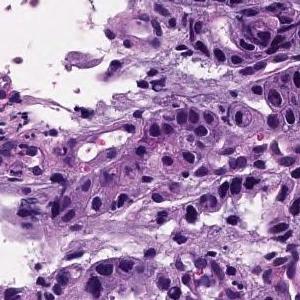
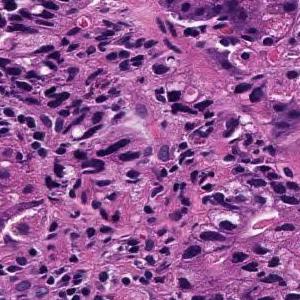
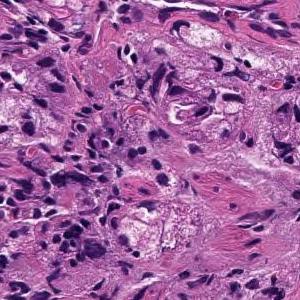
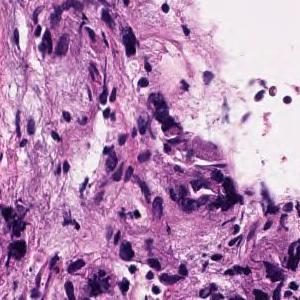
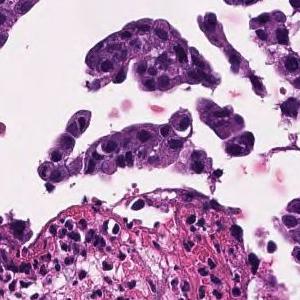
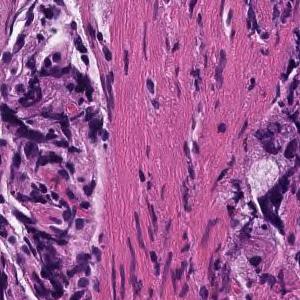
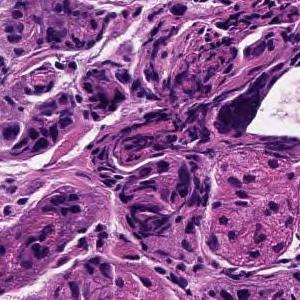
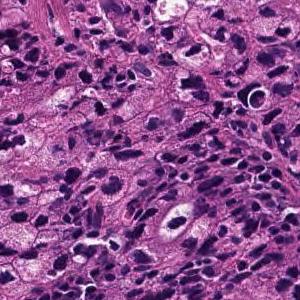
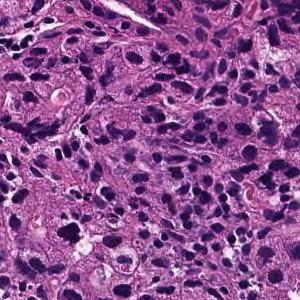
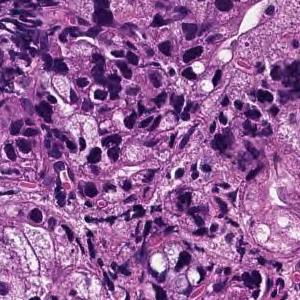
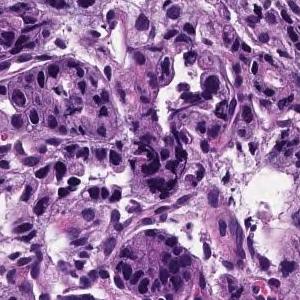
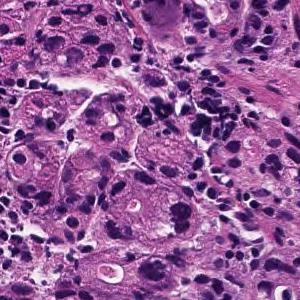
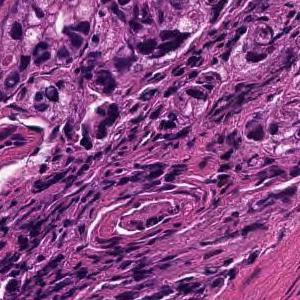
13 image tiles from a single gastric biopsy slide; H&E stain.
Diagnostic report for the slide these tiles come from. The report describes the whole slide, diagnosis included: not every finding it names need appear in these tiles, which may also show non-tumor tissue.
In the superficial epithelium, tumor tissue that invades by forming medium-sized to small, irregular ducts is observed. moderately differentiated tubular adenocarcinoma.
